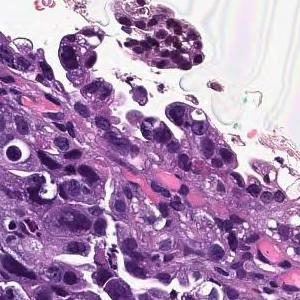
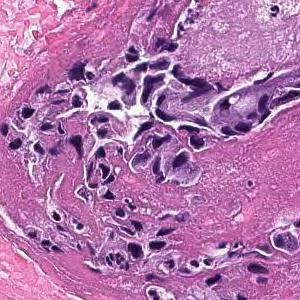
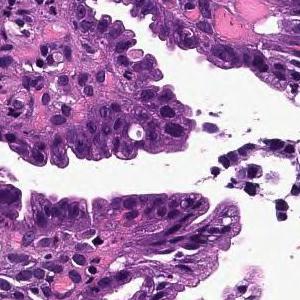
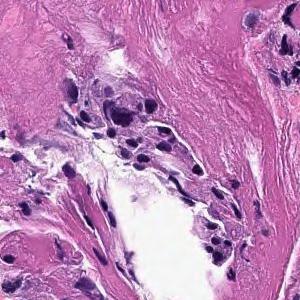
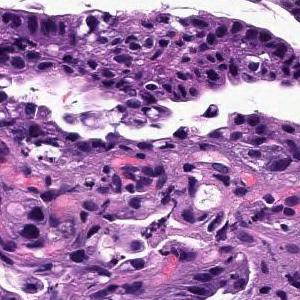
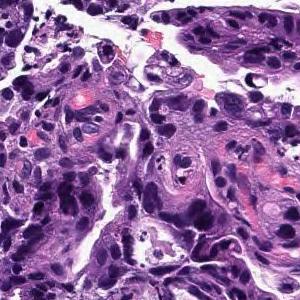
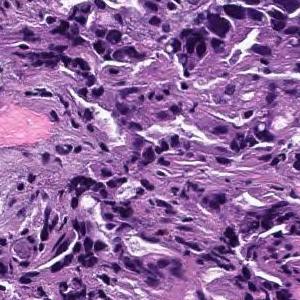
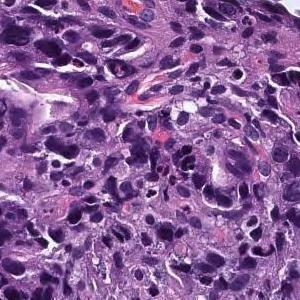
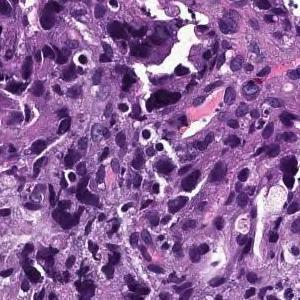
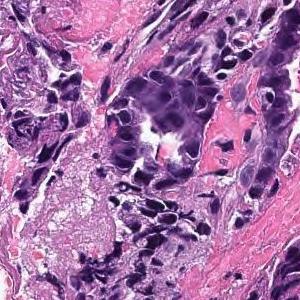
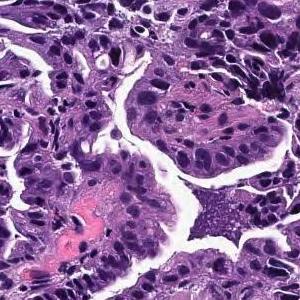
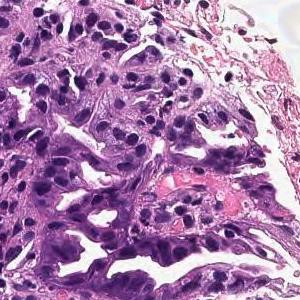
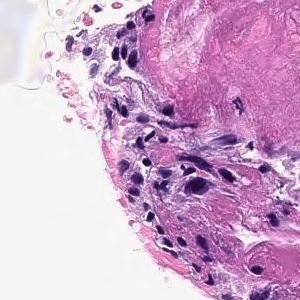
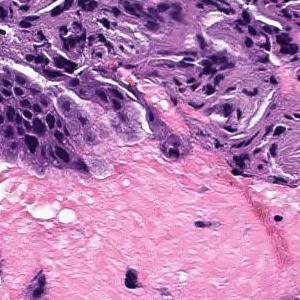
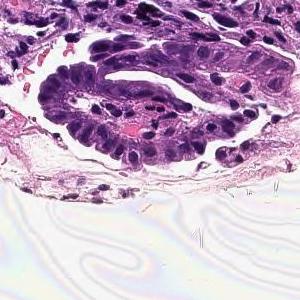
15 tiles from the same stomach biopsy slide · 300 × 300 pixels each · H&E stain.
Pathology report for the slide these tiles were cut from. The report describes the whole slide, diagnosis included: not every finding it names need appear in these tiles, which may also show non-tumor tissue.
The superficial epithelium shows small cord-like infiltrating tumor tissue. Tumor cells are invading single cell manner without mucin production. Poorly differentiated adenocarcinoma, non-solid type
The non-solid type named here is a Japanese Classification of Gastric Carcinoma category.
